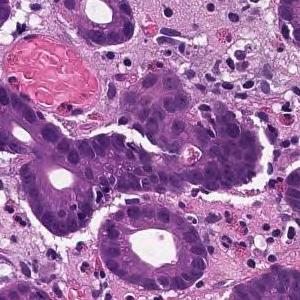
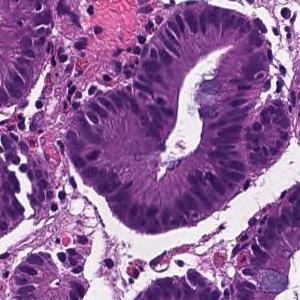
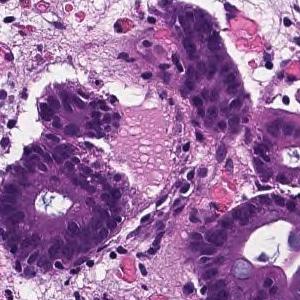
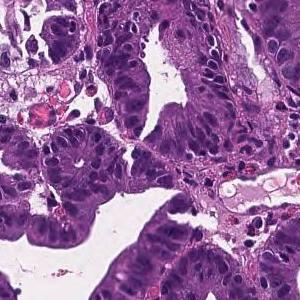
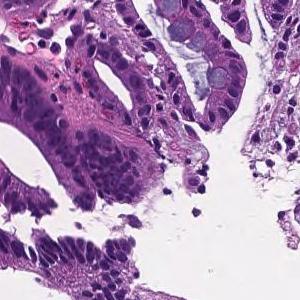
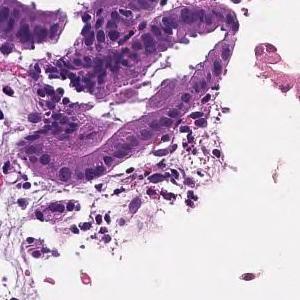
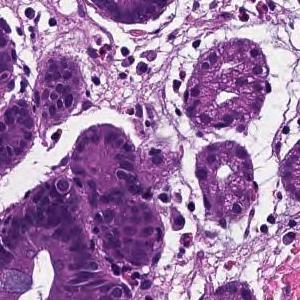
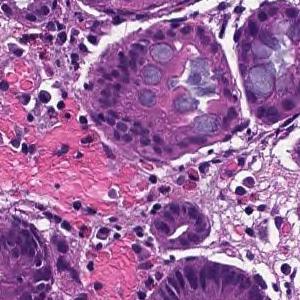
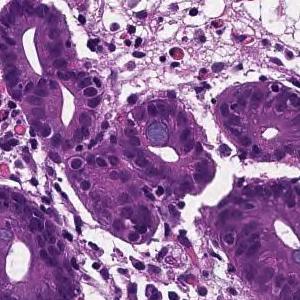
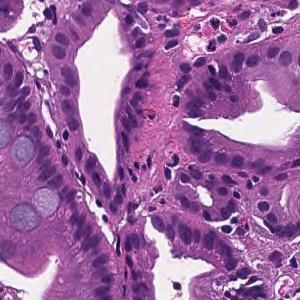
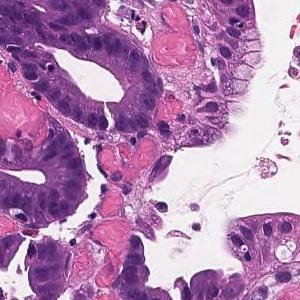
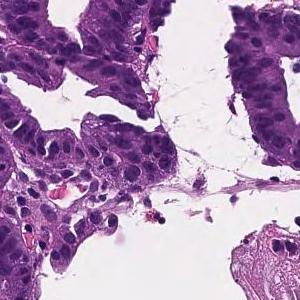
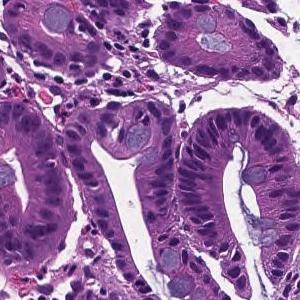
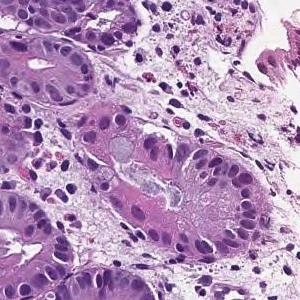
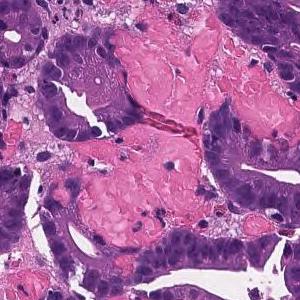
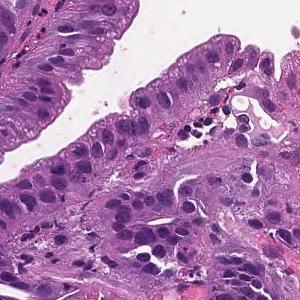
16 image tiles from a single gastric biopsy slide; 300×300 px each; ×20.
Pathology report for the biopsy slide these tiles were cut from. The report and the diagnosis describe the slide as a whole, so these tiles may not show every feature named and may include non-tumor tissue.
From the superficial epithelium to the muscularis mucosae, tumor tissue consisting of medium-sized and irregular glandular ducts infiltrating is observed. Well differentiated tubular adenocarcinoma
